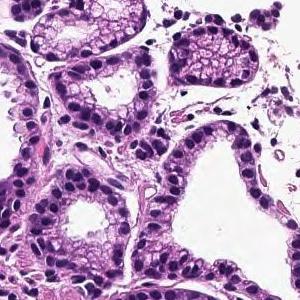
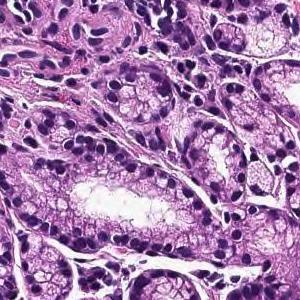
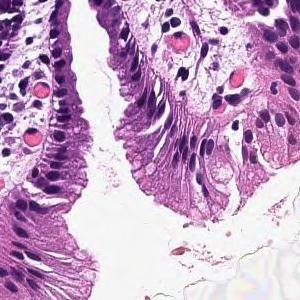
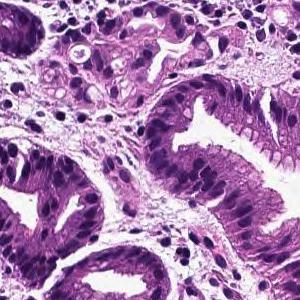
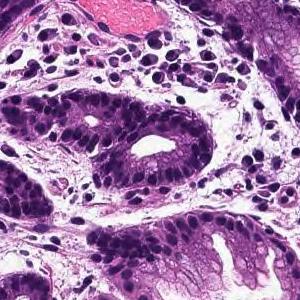
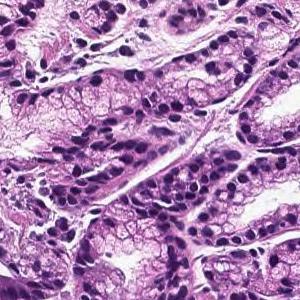
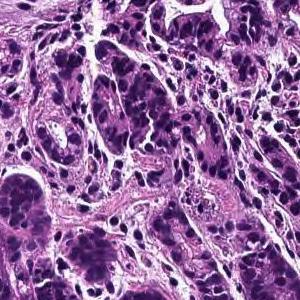
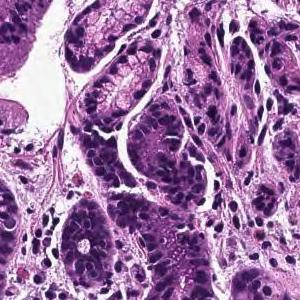
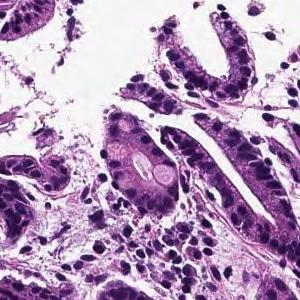
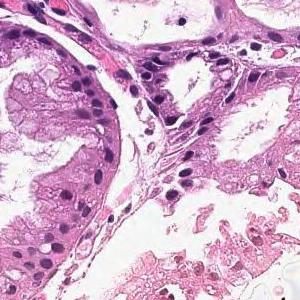
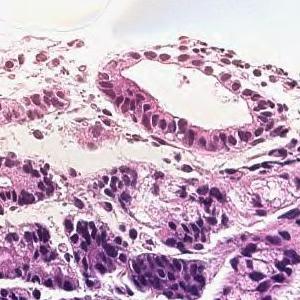
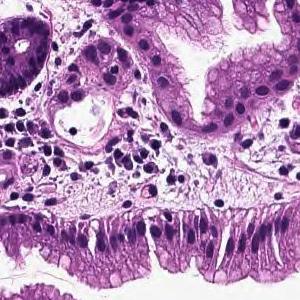
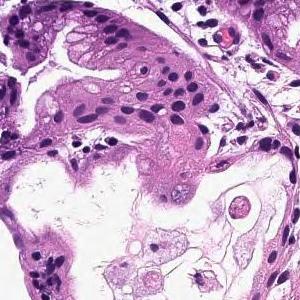
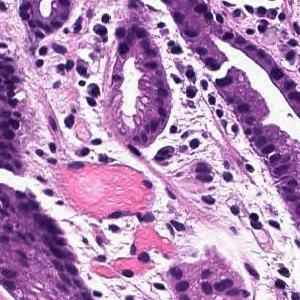
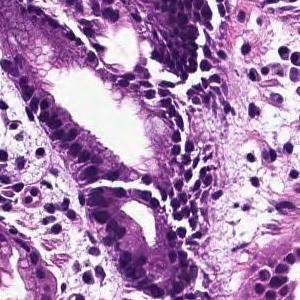
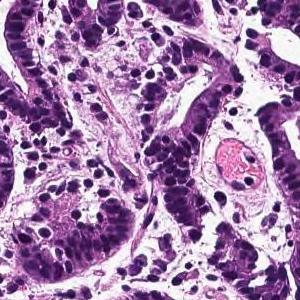
H&E stain, 16 image tiles from a single gastric biopsy slide, 300×300 px each.
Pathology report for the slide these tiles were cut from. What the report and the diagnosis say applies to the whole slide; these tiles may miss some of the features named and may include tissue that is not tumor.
In the superficial epithelium, tumor tissue that invades by forming medium-sized to small, irregular ducts is observed. moderately differentiated tubular adenocarcinoma.
